5 image tiles from a single gastric biopsy slide; scanned at ×20.
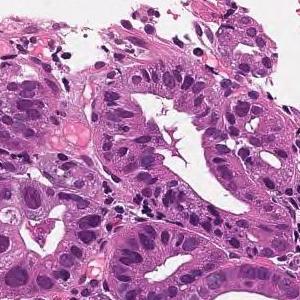
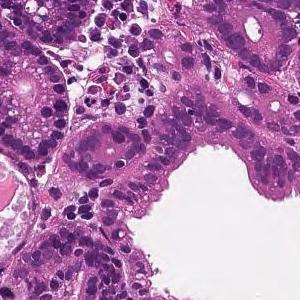
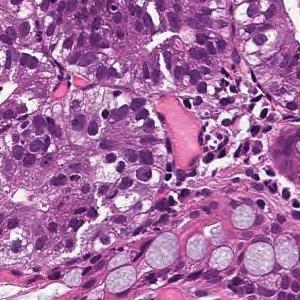
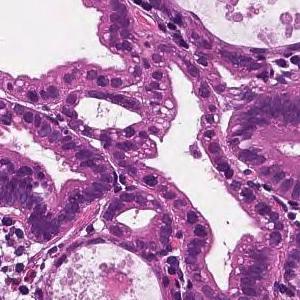
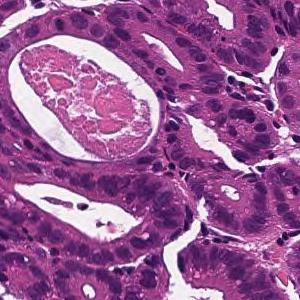
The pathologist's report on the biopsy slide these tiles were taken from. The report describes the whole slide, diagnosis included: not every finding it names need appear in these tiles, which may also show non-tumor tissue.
In the superficial epithelium, tumor tissue that invades by forming medium-sized to small, irregular ducts is observed. moderately differentiated tubular adenocarcinoma.
